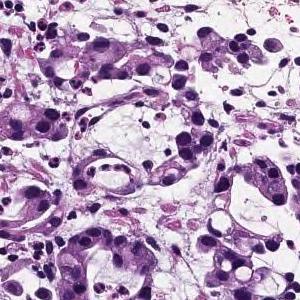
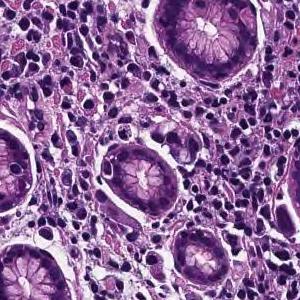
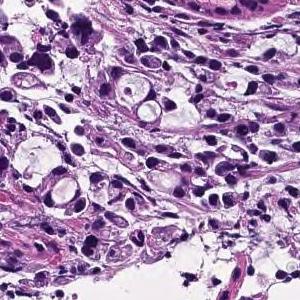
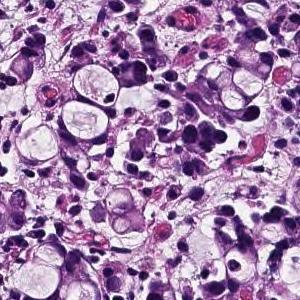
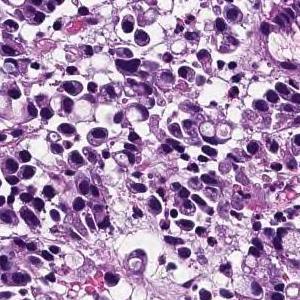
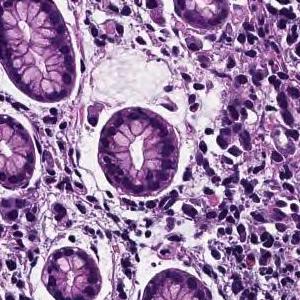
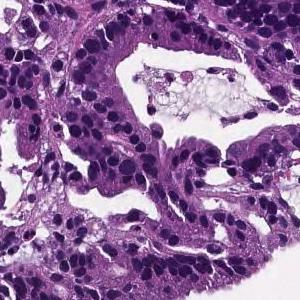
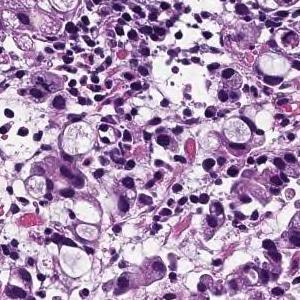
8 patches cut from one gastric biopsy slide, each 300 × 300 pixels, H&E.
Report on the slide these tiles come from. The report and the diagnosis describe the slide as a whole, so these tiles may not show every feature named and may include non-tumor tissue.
Tumor tissue consisting of cord-like or small, irregular glandular ducts fused and infiltrated is observed in the superficial epithelium. Poorly differentiated adenocarcinoma, non-solid type
The non-solid type named here is a Japanese Classification of Gastric Carcinoma category.
